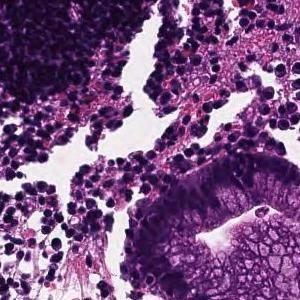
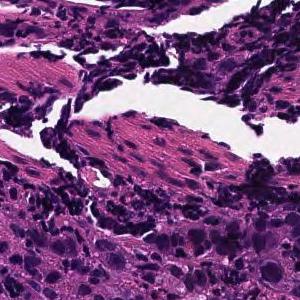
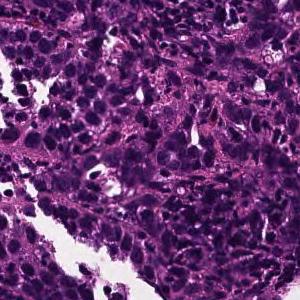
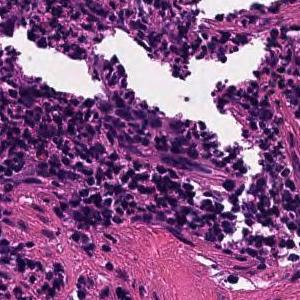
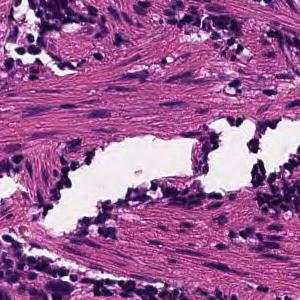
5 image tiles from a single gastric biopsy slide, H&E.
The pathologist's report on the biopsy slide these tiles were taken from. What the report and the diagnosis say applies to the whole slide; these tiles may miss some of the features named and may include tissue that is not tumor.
Tumor tissue consisting of cord-like or small, irregular glandular ducts fused and infiltrated is observed in the superficial epithelium. Poorly differentiated adenocarcinoma, non-solid type
"Non-solid type" is a category of the Japanese Classification of Gastric Carcinoma.
